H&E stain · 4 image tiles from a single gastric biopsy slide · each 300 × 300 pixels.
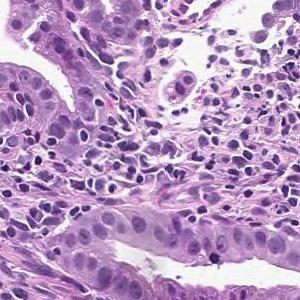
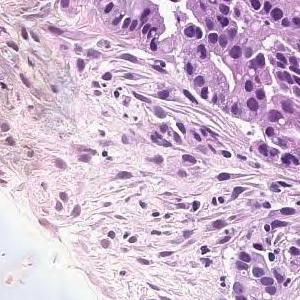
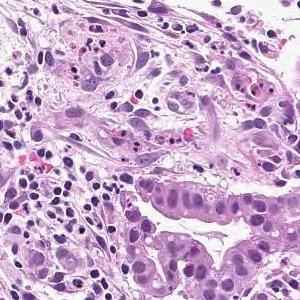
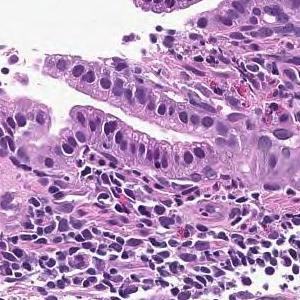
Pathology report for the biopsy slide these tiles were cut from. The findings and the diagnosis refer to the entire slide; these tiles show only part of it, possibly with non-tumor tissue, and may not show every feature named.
On the superficial epithelium, tumor tissue that infiltrates by forming medium-sized papillary or small irregular ducts is observed. Papillary adenocarcinoma
